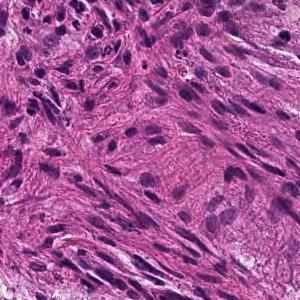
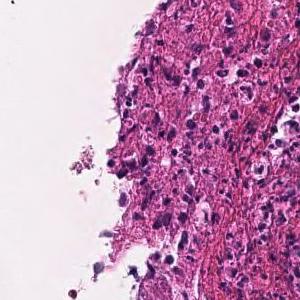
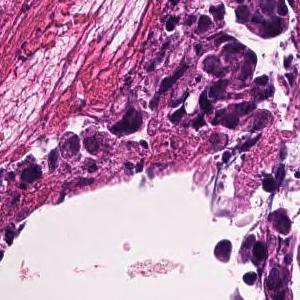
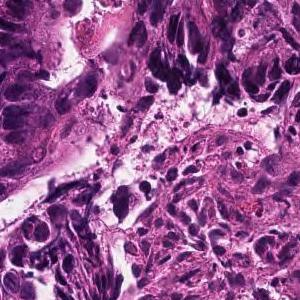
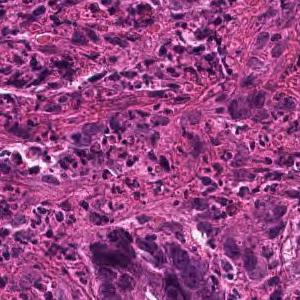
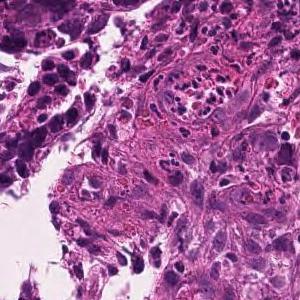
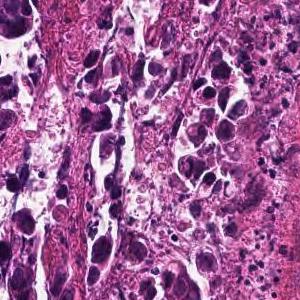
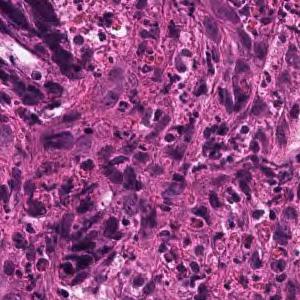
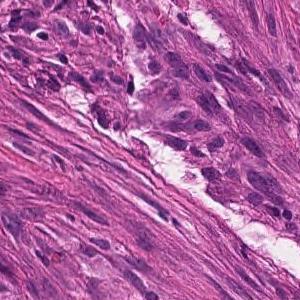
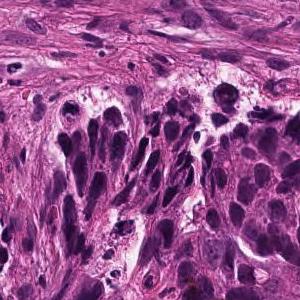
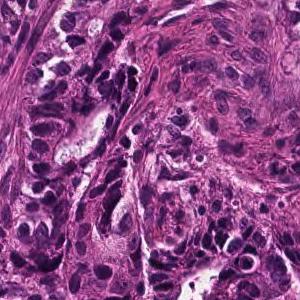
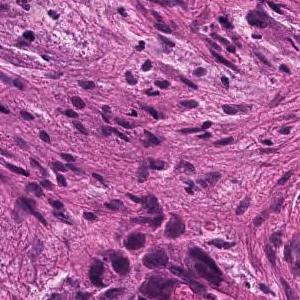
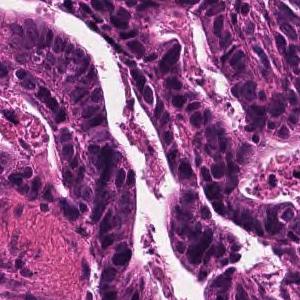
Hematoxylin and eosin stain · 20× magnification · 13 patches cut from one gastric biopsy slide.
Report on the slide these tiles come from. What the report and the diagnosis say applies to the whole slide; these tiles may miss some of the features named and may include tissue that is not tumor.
In the superficial epithelium, tumor tissue that invades by forming medium-sized to small, irregular ducts is observed. moderately differentiated tubular adenocarcinoma.
